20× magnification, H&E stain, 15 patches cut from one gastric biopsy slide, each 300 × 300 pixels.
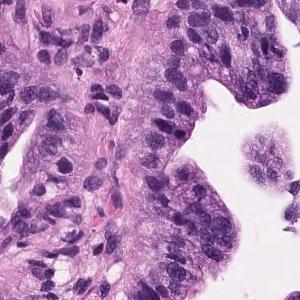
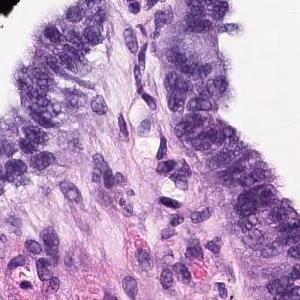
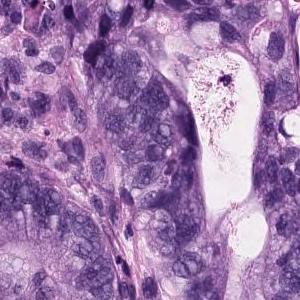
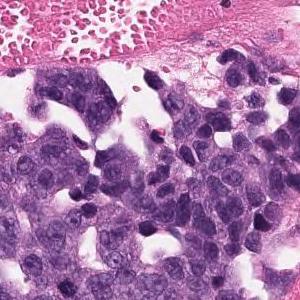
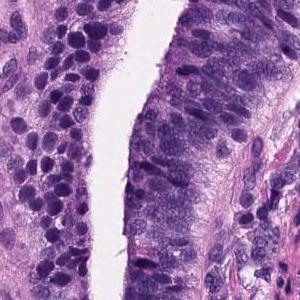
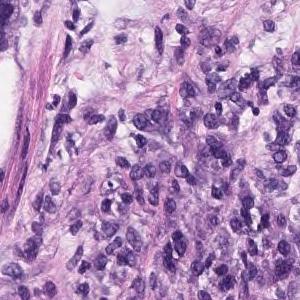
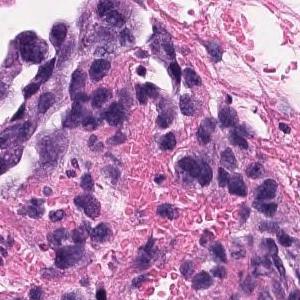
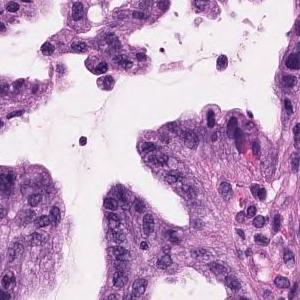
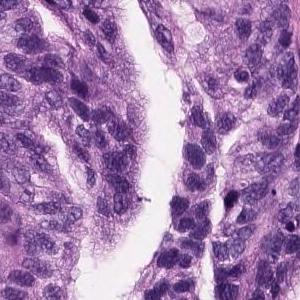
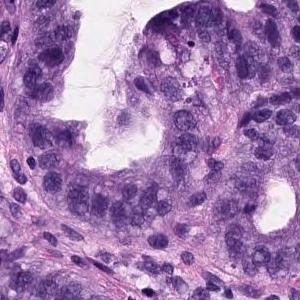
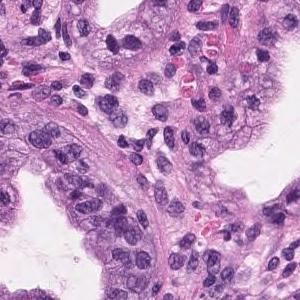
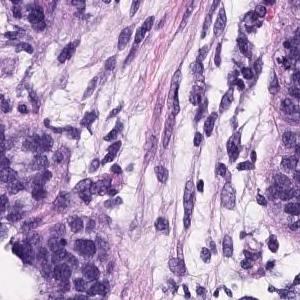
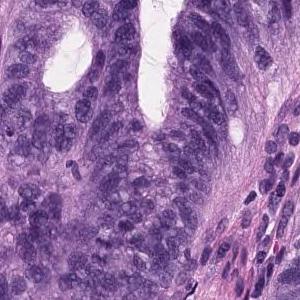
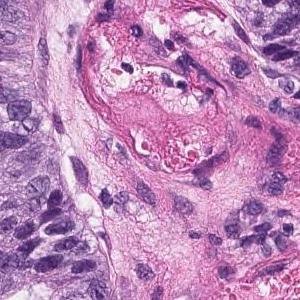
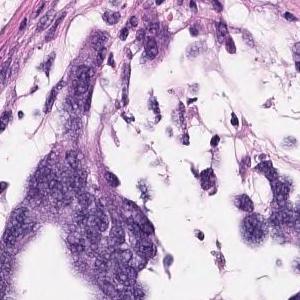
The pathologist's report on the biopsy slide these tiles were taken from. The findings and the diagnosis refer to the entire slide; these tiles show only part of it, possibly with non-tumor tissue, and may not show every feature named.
Tumor cells are large, highly columnar, large club-shaped nuclei, and are associated with chromatin aggregation. Papillary adenocarcinoma.
